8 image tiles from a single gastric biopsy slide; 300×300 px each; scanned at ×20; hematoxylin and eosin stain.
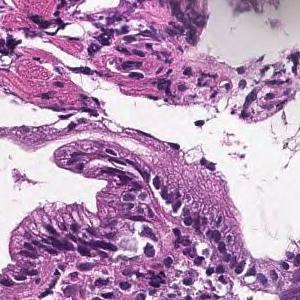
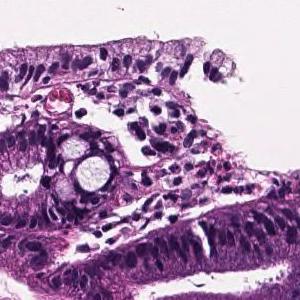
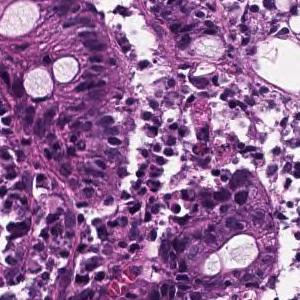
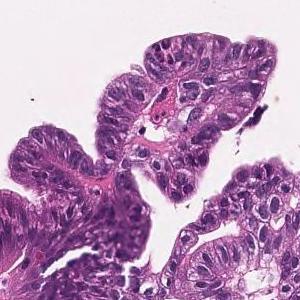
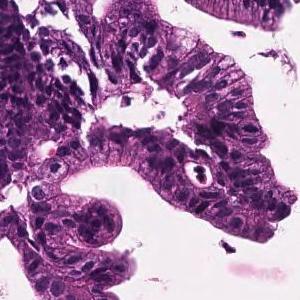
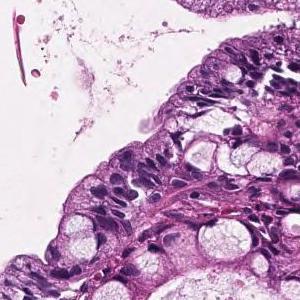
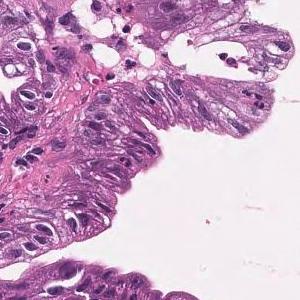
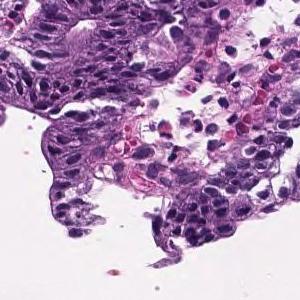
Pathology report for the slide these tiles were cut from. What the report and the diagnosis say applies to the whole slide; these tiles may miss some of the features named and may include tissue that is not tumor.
In the superficial epithelium, tumor tissue that invades by forming medium-sized to small, irregular ducts is observed. Well differentiated tubular adenocarcinoma.
